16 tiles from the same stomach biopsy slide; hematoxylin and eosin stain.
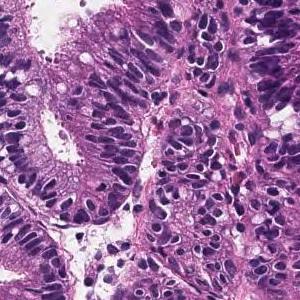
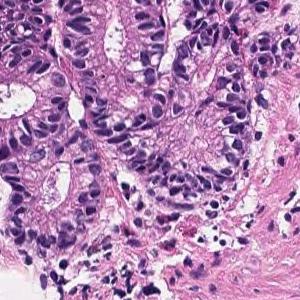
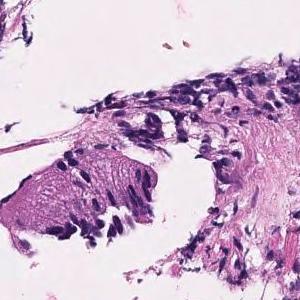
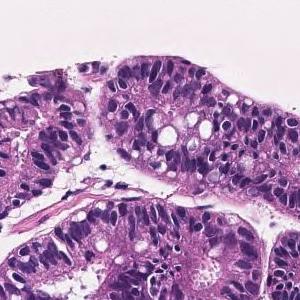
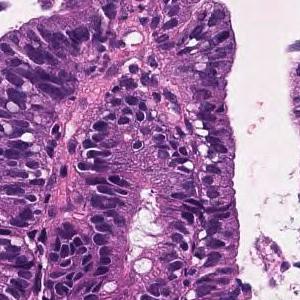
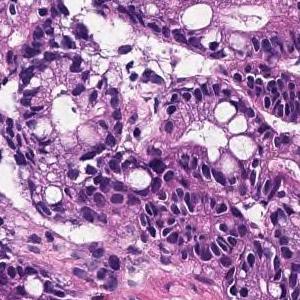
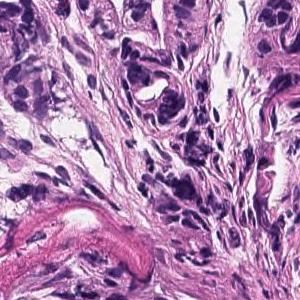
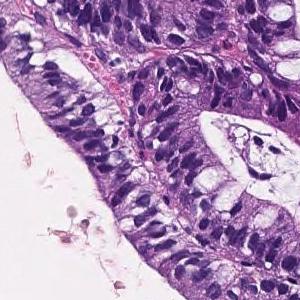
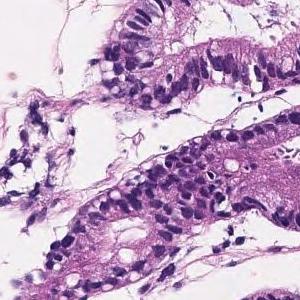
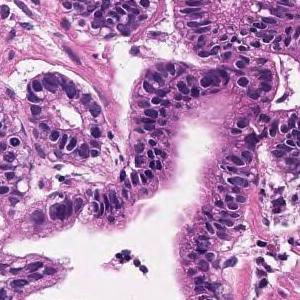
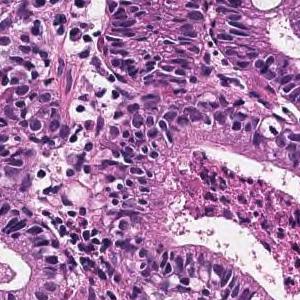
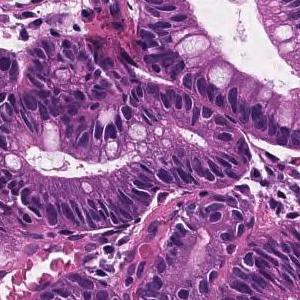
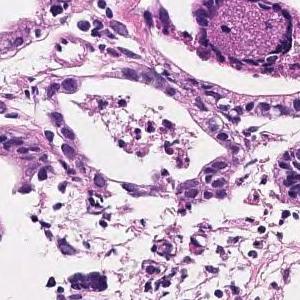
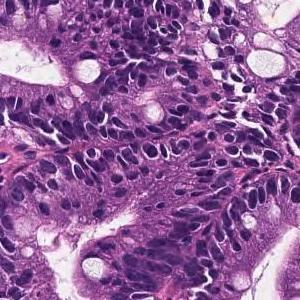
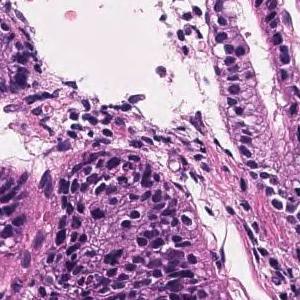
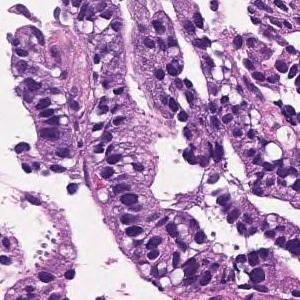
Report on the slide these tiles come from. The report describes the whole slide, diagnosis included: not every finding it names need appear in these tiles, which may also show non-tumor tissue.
Most remain in the superficial epithelium, forming medium-sized papillary or small irregular ducts and proliferating, and some tumor tissue invades the muscularis mucosae. Papillary adenocarcinoma
